11 image tiles from a single gastric biopsy slide, ×20, H&E stain.
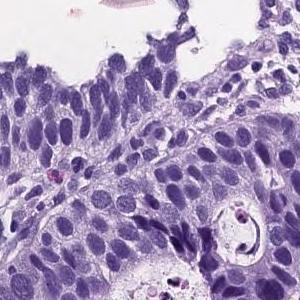
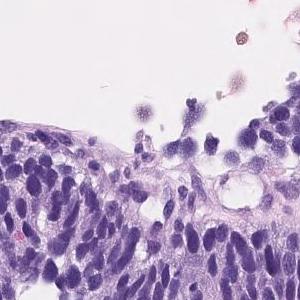
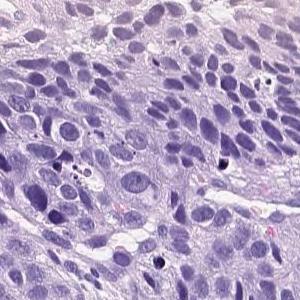
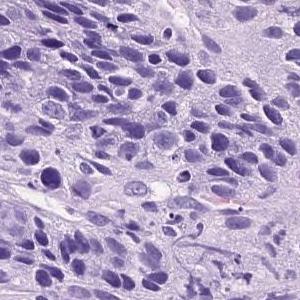
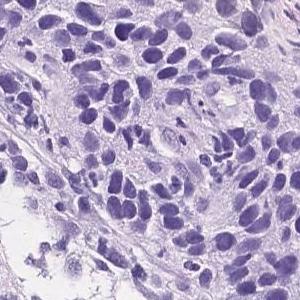
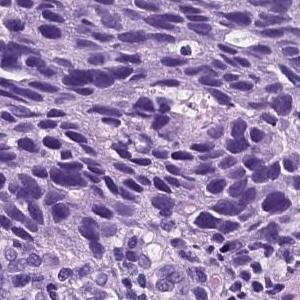
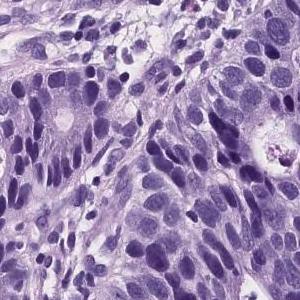
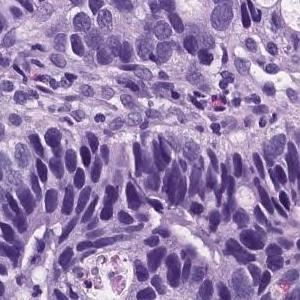
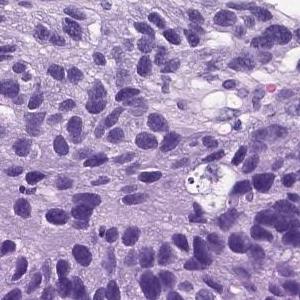
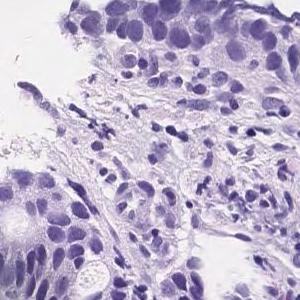
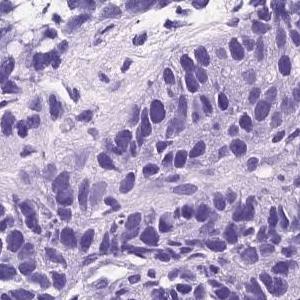
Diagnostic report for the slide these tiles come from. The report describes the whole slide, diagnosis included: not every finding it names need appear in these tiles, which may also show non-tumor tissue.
Atypical cells with atypical nuclei forming small irregular atypical ducts and growing in a conformative manner. moderately differentiated tubular adenocarcinoma
Dataset label: moderately to poorly differentiated adenocarcinoma.
